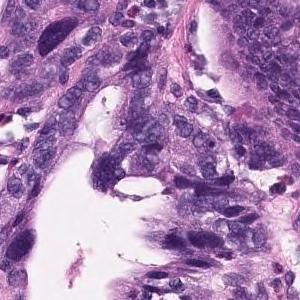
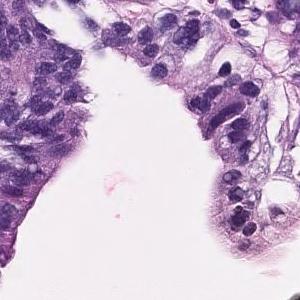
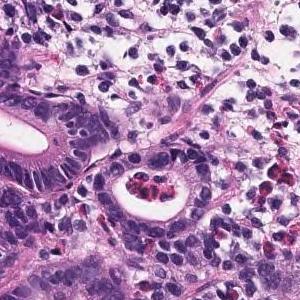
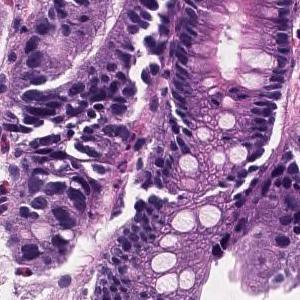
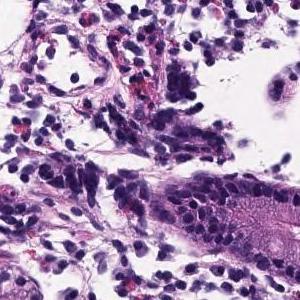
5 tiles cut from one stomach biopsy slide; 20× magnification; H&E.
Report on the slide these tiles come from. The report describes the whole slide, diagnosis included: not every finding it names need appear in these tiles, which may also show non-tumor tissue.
Tumor cells are large, highly columnar, large club-shaped nuclei, and are associated with chromatin aggregation. Papillary adenocarcinoma.
